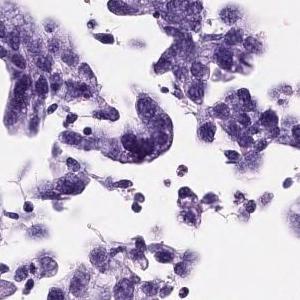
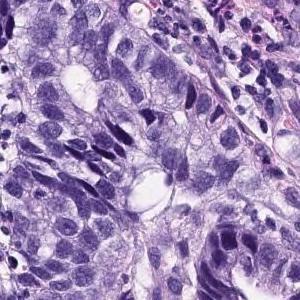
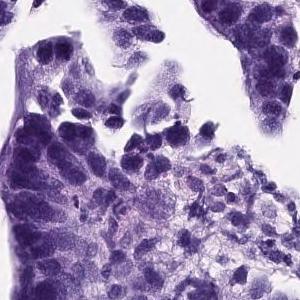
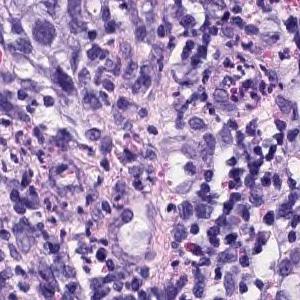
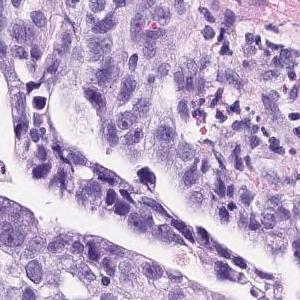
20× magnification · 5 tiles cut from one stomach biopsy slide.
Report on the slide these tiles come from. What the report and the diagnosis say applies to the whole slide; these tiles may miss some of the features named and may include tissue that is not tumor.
On the superficial epithelium, tumor tissue consisting of medium to small irregular tubules partially fused and proliferated is observed. moderately differentiated tubular adenocarcinoma
